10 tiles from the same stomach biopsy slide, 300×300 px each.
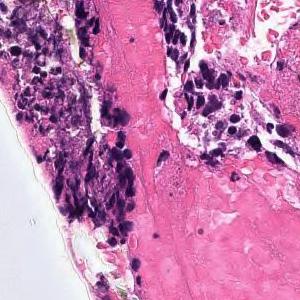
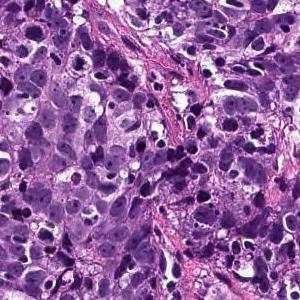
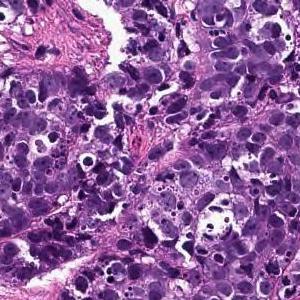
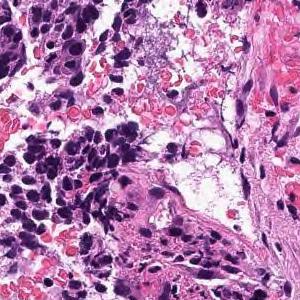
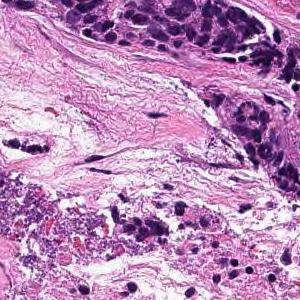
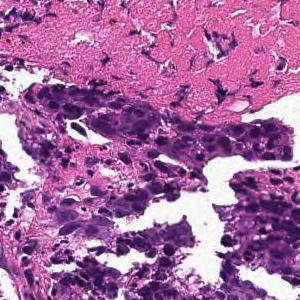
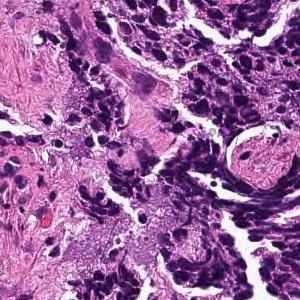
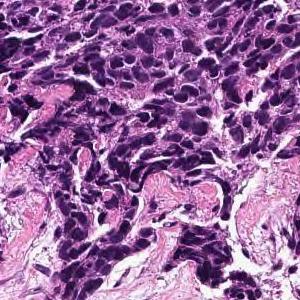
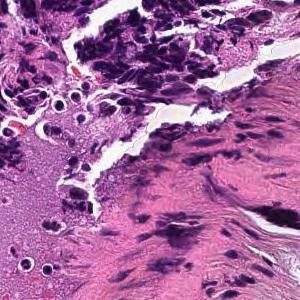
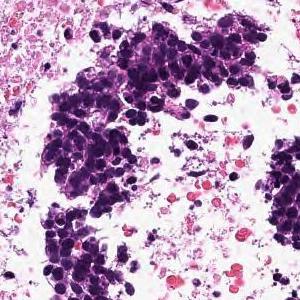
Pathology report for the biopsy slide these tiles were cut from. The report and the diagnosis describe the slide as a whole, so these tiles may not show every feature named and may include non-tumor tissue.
The superficial epithelium shows a large sheet or alveolar shape, and tumor tissue infiltrating without irregular ducts is observed. Poorly differentiated adenocarcinoma, solid-type
Subtype: Poorly differentiated adenocarcinoma, solid type. This name comes from the Japanese Classification of Gastric Carcinoma; the WHO 2019 classification calls it tubular adenocarcinoma, poorly differentiated.
